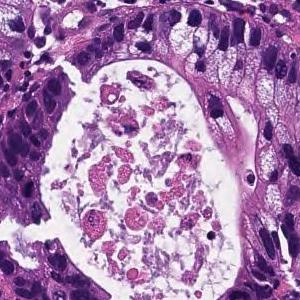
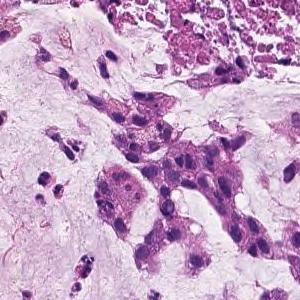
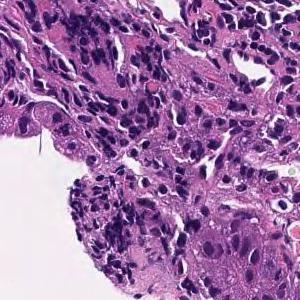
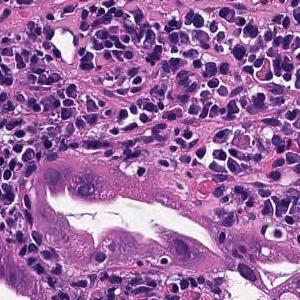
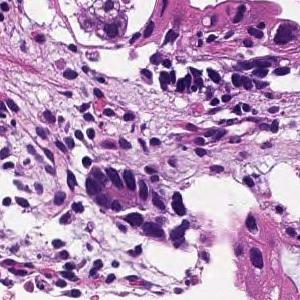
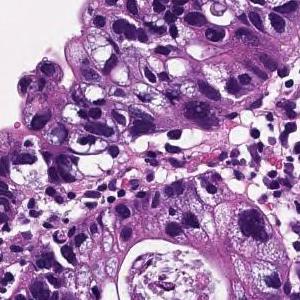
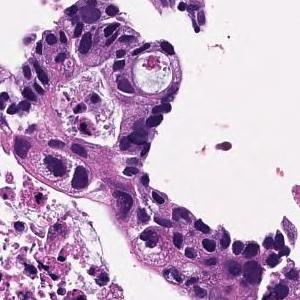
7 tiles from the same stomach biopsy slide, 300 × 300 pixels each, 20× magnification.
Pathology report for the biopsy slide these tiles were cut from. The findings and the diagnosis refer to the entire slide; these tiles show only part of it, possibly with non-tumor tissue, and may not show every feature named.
In the superficial epithelium, tumor tissue that invades by forming medium-sized to small, irregular ducts is observed. moderately differentiated tubular adenocarcinoma.
